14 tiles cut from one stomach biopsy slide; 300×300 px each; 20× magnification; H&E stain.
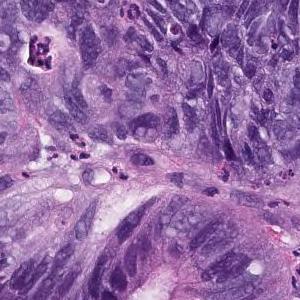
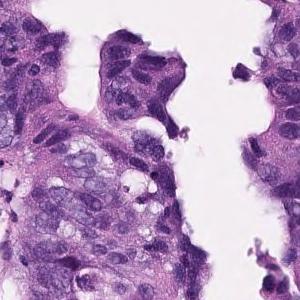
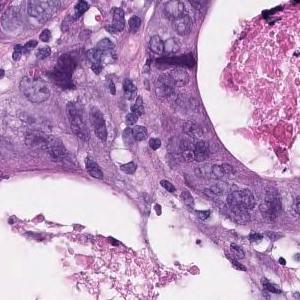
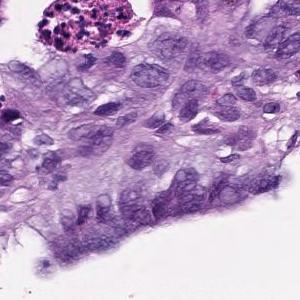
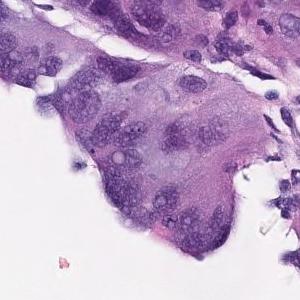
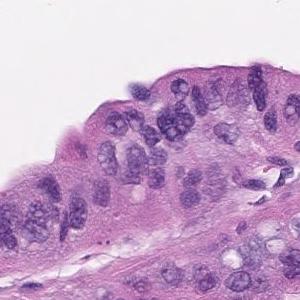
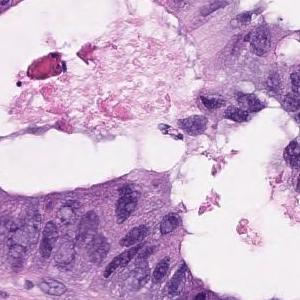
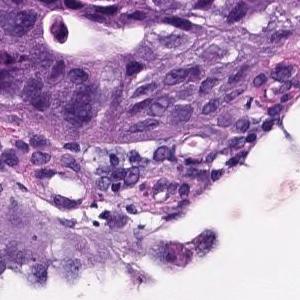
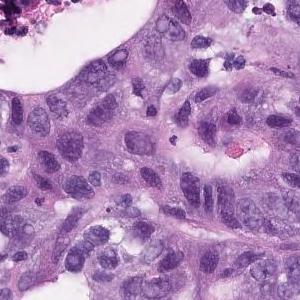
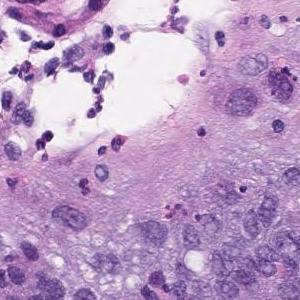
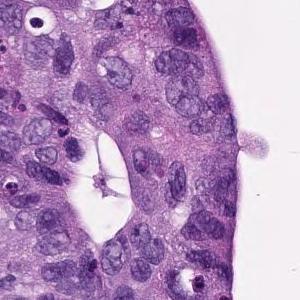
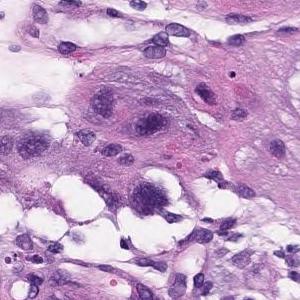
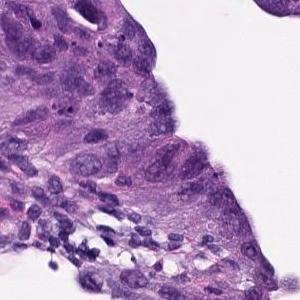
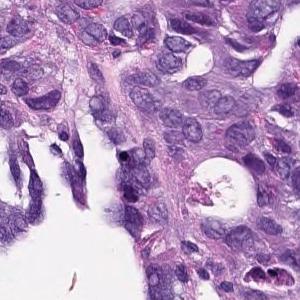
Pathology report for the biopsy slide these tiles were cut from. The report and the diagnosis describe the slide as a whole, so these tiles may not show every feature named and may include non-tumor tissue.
In the superficial epithelium, tumor tissue that invades by forming medium-sized to small, irregular ducts is observed. Moderately differentiated adenocarcinoma.
Subtype: Moderately differentiated tubular adenocarcinoma.
